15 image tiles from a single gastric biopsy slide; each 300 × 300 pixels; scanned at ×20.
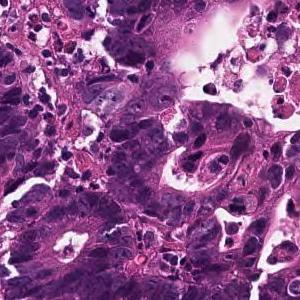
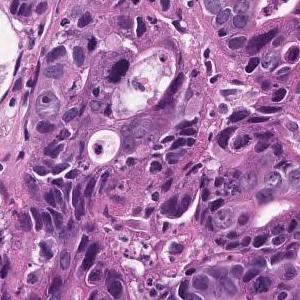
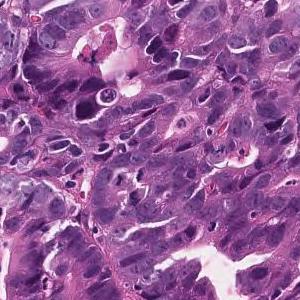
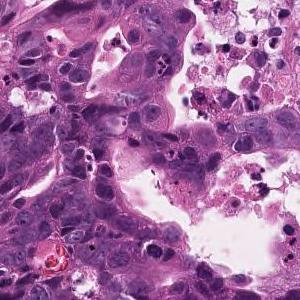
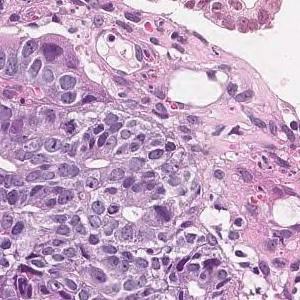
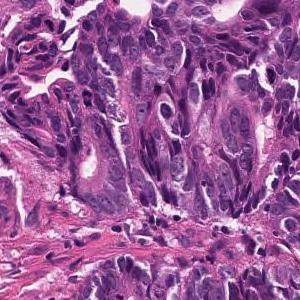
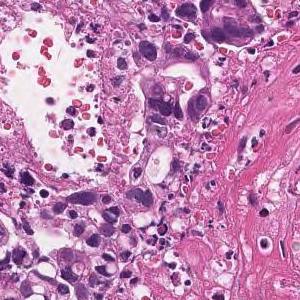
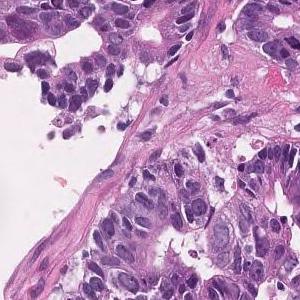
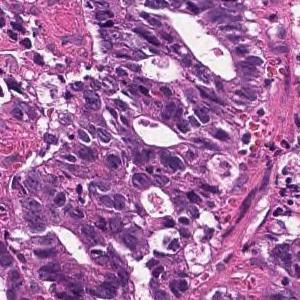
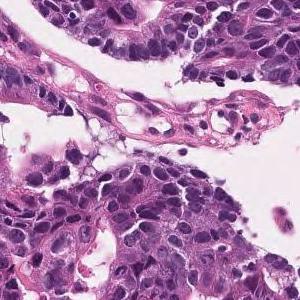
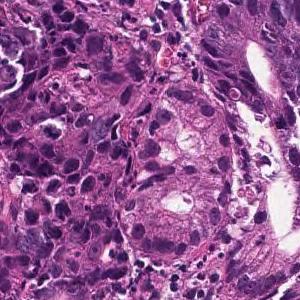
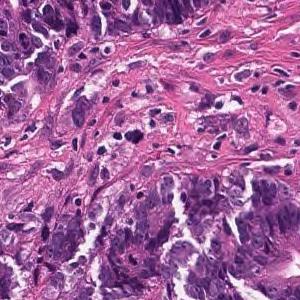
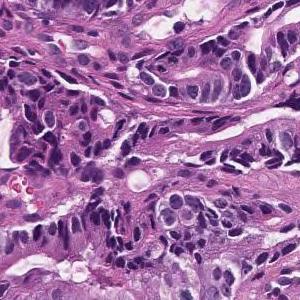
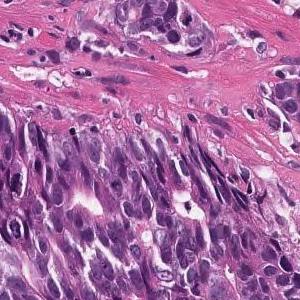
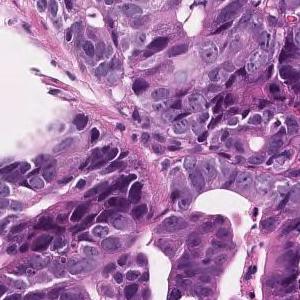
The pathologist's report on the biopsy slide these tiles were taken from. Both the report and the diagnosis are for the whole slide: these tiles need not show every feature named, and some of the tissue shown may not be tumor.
In the superficial epithelium, tumor tissue that invades by forming medium-sized to small, irregular ducts is observed. moderately differentiated tubular adenocarcinoma.
